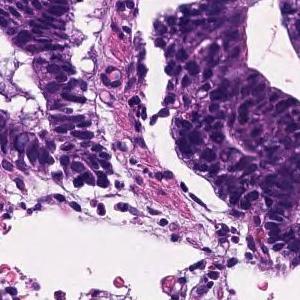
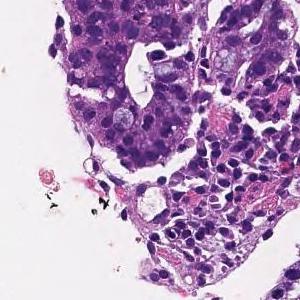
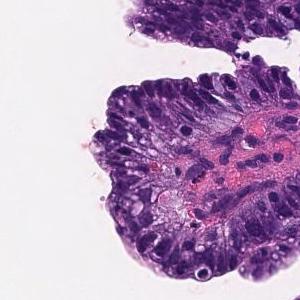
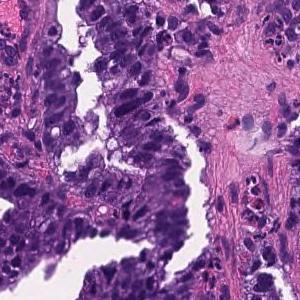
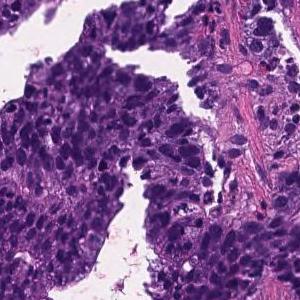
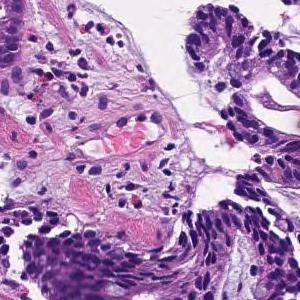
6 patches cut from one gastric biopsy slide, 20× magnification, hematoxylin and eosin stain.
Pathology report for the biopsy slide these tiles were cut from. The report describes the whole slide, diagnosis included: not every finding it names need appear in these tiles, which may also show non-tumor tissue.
Tumor cells are large, highly columnar, large club-shaped nuclei, and are associated with chromatin aggregation. Papillary adenocarcinoma.
